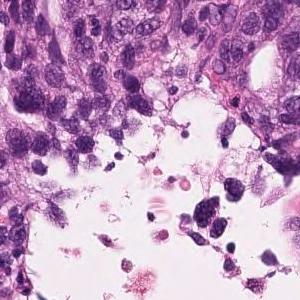
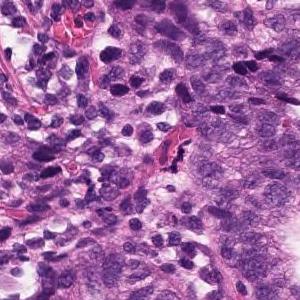
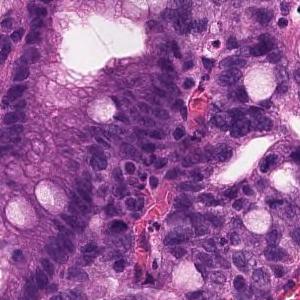
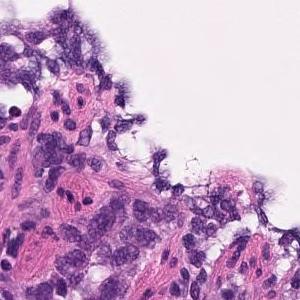
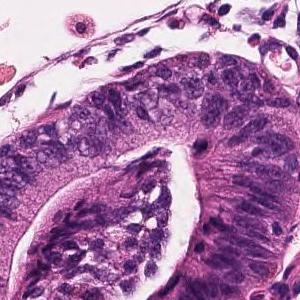
5 image tiles from a single gastric biopsy slide; each 300 × 300 pixels; H&E stain.
Pathology report for the biopsy slide these tiles were cut from. Both the report and the diagnosis are for the whole slide: these tiles need not show every feature named, and some of the tissue shown may not be tumor.
In the superficial epithelium, tumor tissue that invades by forming medium-sized to small, irregular ducts is observed. Moderately differentiated adenocarcinoma.
Subtype: Moderately differentiated tubular adenocarcinoma.
